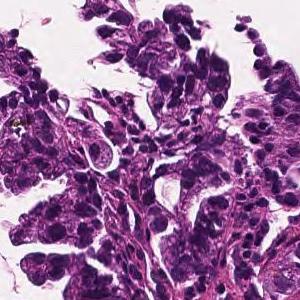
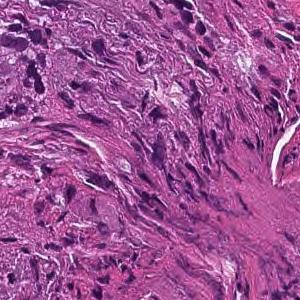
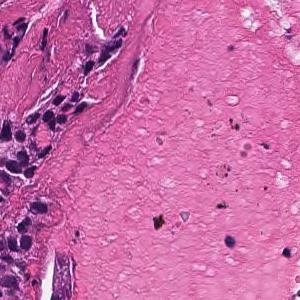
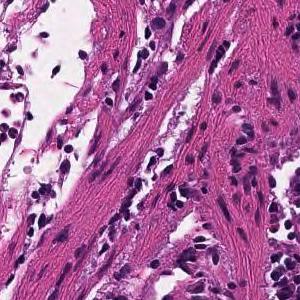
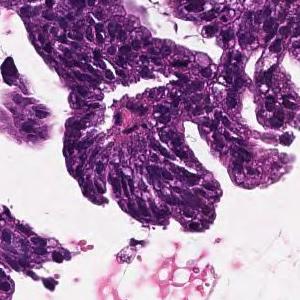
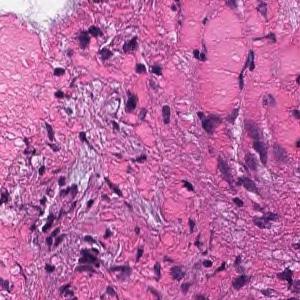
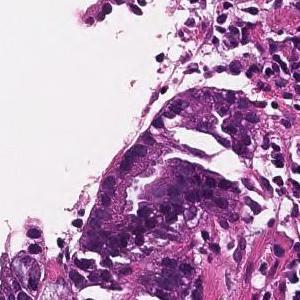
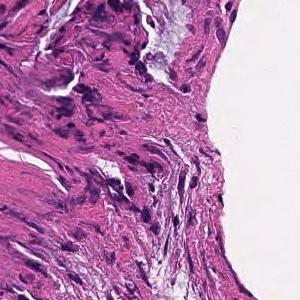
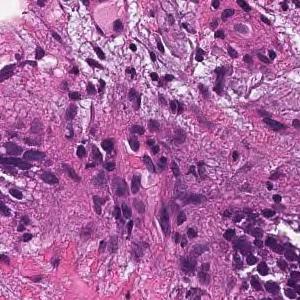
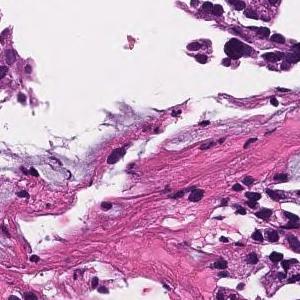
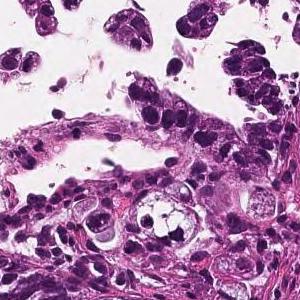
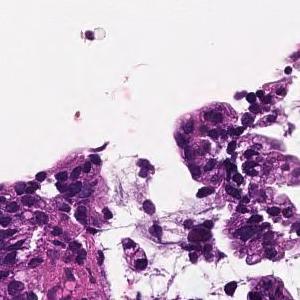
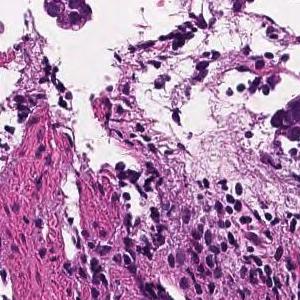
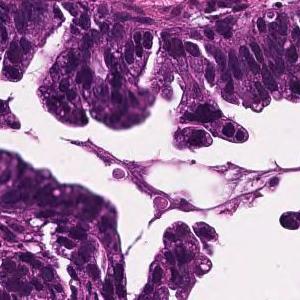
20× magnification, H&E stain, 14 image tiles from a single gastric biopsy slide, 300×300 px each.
Pathology report for the slide these tiles were cut from. The report and the diagnosis cover the entire slide, so not every feature they name need be visible here, and some tissue shown may not be tumor.
Tumor cells are large, highly columnar, large club-shaped nuclei, and are associated with chromatin aggregation. Papillary adenocarcinoma.
